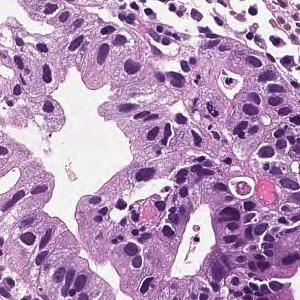
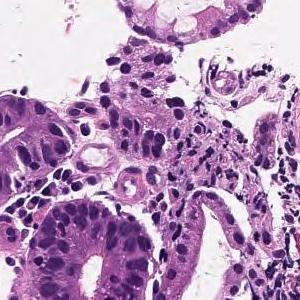
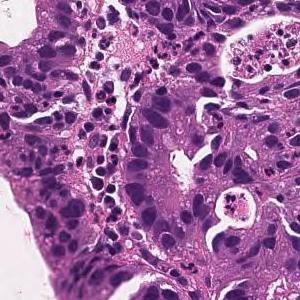
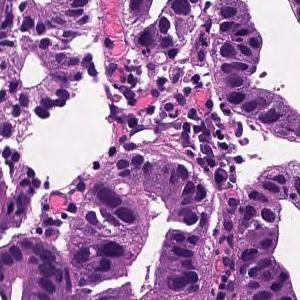
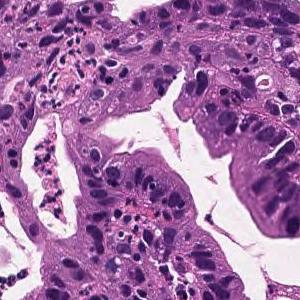
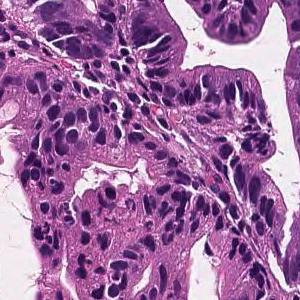
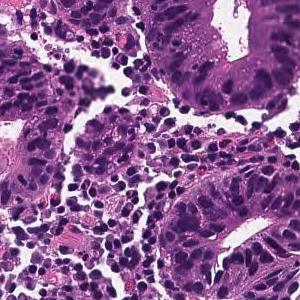
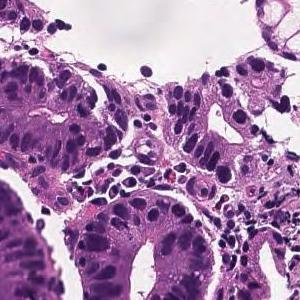
8 patches cut from one gastric biopsy slide, 300×300 px each, ×20, H&E stain.
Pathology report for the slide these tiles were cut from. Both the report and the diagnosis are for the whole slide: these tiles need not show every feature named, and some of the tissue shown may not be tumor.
From the superficial epithelium to the muscularis mucosae, tumor tissue consisting of medium-sized and irregular glandular ducts infiltrating is observed. Well differentiated tubular adenocarcinoma
